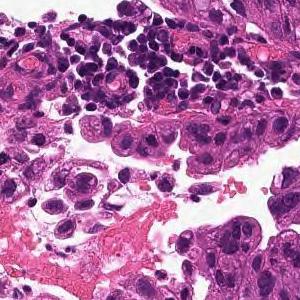
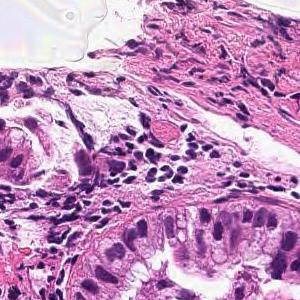
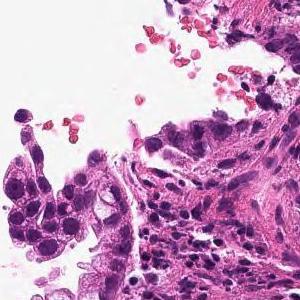
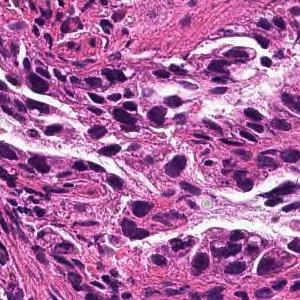
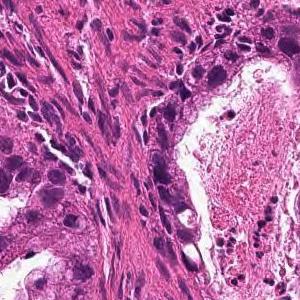
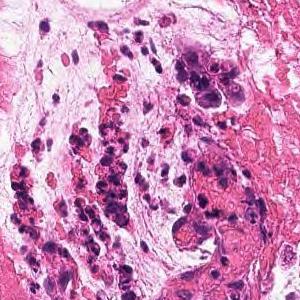
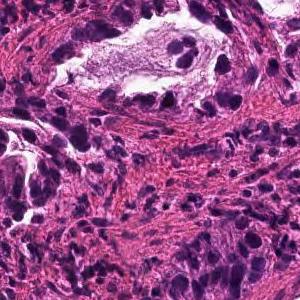
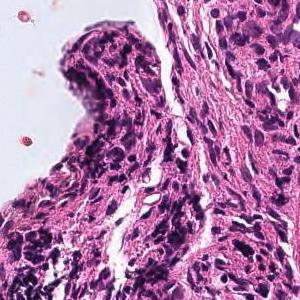
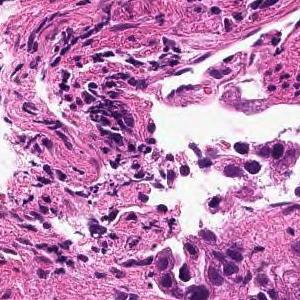
9 image tiles from a single gastric biopsy slide, 300×300 px each, H&E stain.
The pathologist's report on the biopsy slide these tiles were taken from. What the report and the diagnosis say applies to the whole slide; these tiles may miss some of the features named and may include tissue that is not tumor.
From the superficial epithelium to the muscularis mucosae, tumor tissue infiltrating by forming medium-sized irregular gland ducts is observed. Well differentiated tubular adenocarcinoma
